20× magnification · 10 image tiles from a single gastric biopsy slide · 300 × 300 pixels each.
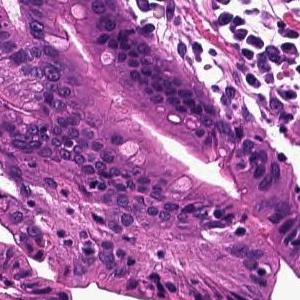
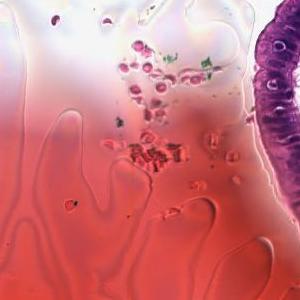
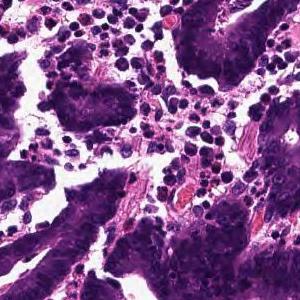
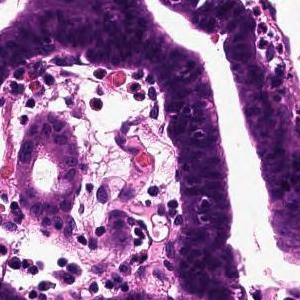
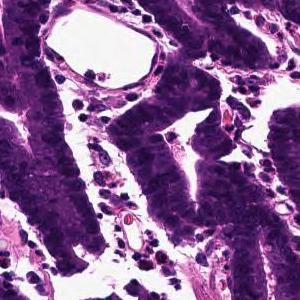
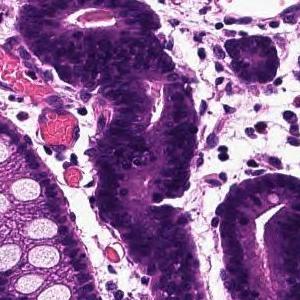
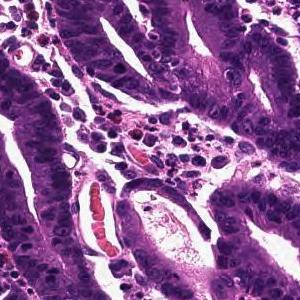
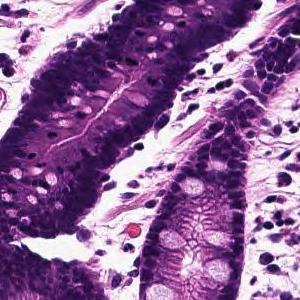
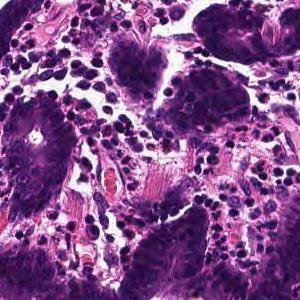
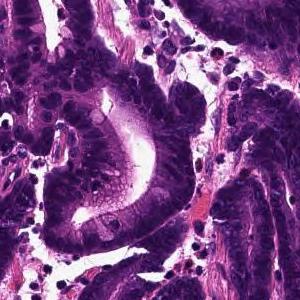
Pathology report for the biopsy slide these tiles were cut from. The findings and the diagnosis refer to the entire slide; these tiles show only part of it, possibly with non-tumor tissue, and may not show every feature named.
Tumor tissue that infiltrates by forming large papillary or large irregular glandular ducts is observed confined to the mucosa. Papillary adenocarcinoma
